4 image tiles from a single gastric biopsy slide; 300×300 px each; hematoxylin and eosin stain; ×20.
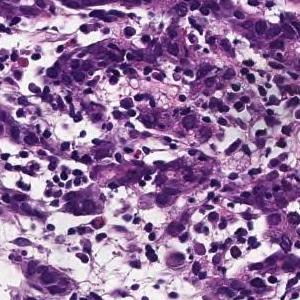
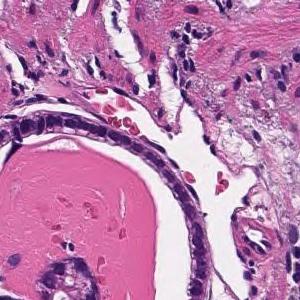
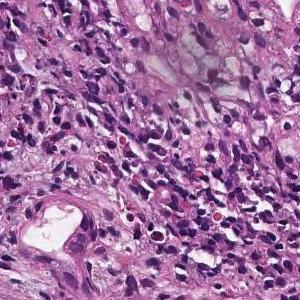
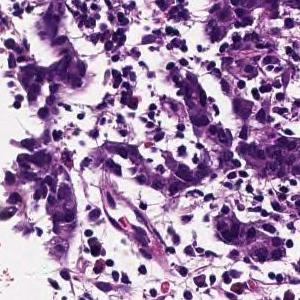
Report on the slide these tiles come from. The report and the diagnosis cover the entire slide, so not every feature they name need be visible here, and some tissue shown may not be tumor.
Tumor tissue consisting of medium-sized, cord-like or irregular glandular infiltration is observed in the superficial epithelium. Poorly differentiated adenocarcinoma, non-solid type or moderately differentiated tubular adenocarcinoma
Tumor subtype: moderately to poorly differentiated adenocarcinoma.
The term "non-solid type" comes from the Japanese Classification of Gastric Carcinoma.
